20× magnification · 6 tiles cut from one stomach biopsy slide · each 300 × 300 pixels.
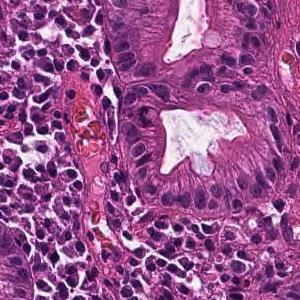
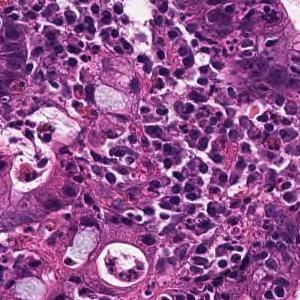
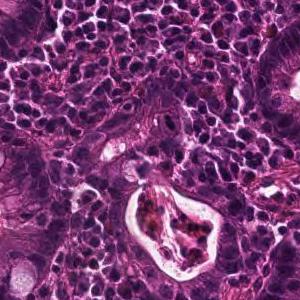
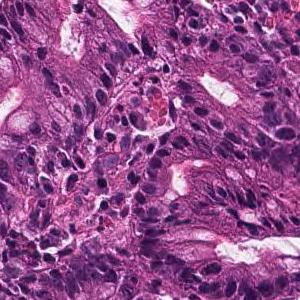
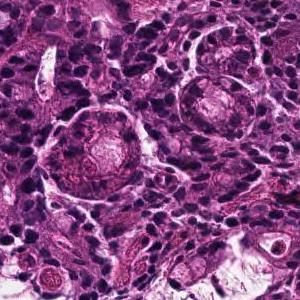
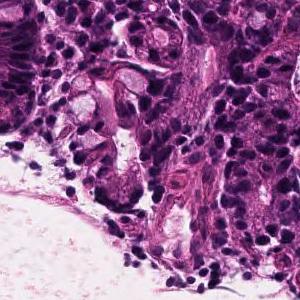
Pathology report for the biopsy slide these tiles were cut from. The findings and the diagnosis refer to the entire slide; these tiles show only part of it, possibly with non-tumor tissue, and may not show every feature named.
In the superficial epithelium, tumor tissue that invades by forming medium-sized to small, irregular ducts is observed. moderately differentiated tubular adenocarcinoma.
